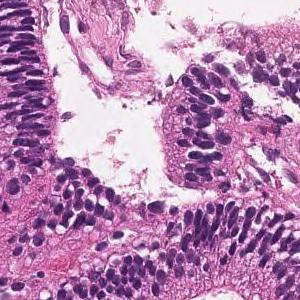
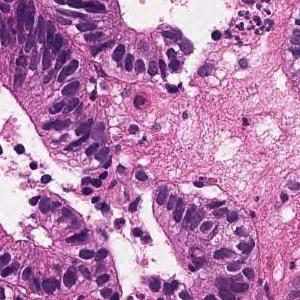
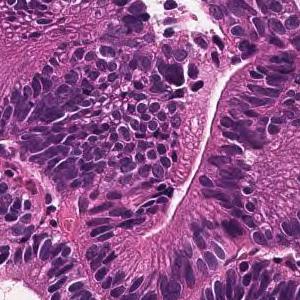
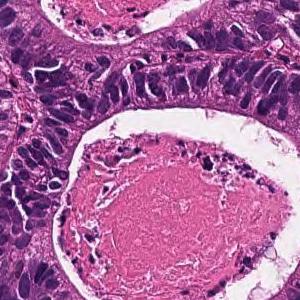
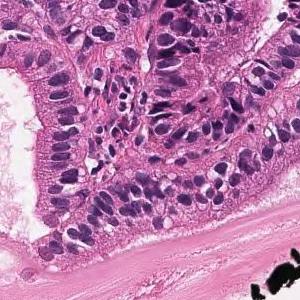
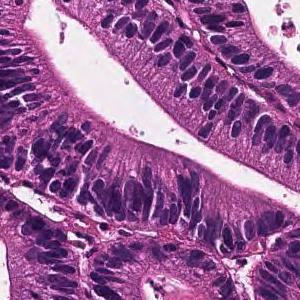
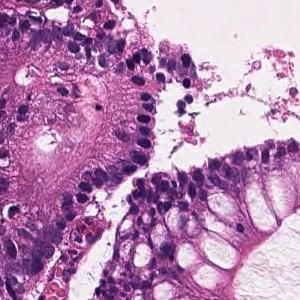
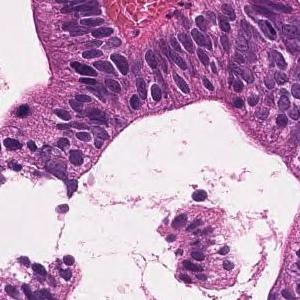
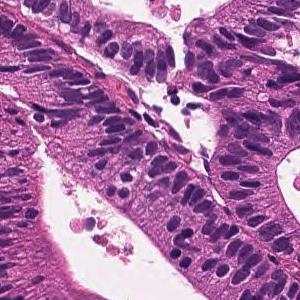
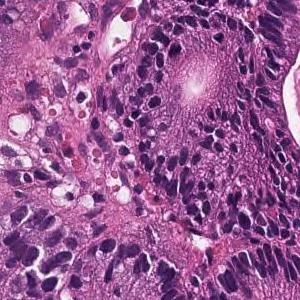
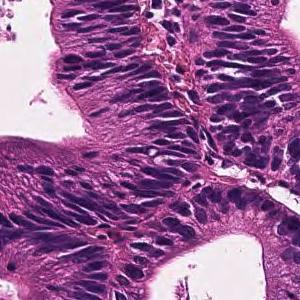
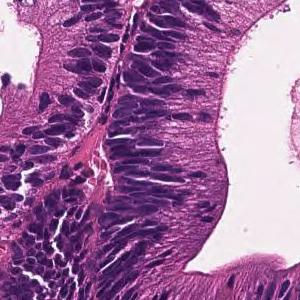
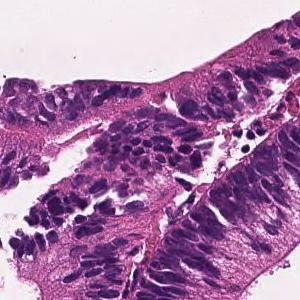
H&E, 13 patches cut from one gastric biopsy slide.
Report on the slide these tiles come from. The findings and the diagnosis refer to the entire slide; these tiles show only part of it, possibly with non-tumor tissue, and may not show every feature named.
From the superficial epithelium to the muscularis mucosae, tumor tissue infiltrating by forming medium-sized irregular gland ducts is observed. Large tumor cells exhibit large nucleus and hyperchromatism. Well differentiated tubular adenocarcinoma
